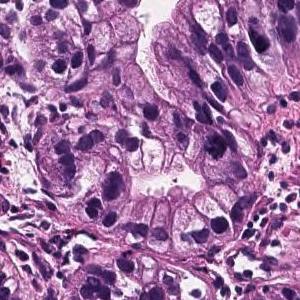
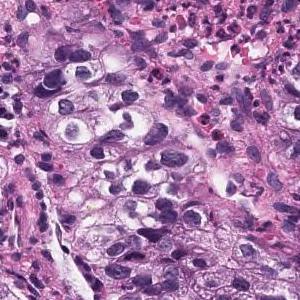
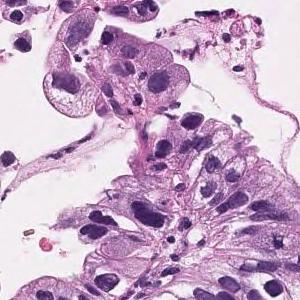
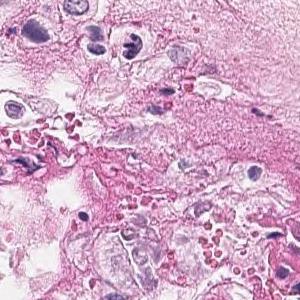
4 image tiles from a single gastric biopsy slide · 300×300 px each.
Report on the slide these tiles come from. The report and the diagnosis cover the entire slide, so not every feature they name need be visible here, and some tissue shown may not be tumor.
Tumor cells are large, highly columnar, large club-shaped nuclei, and are associated with chromatin aggregation. Papillary adenocarcinoma.
